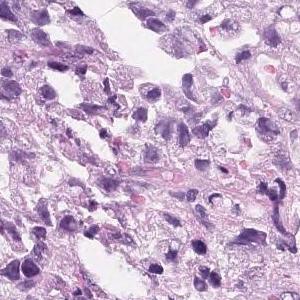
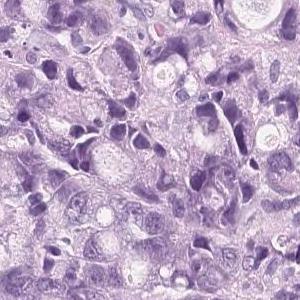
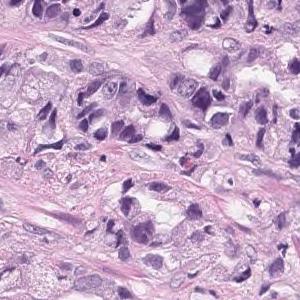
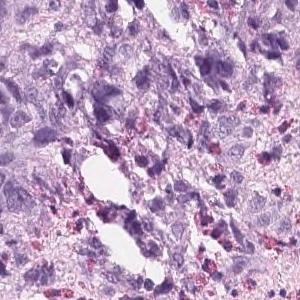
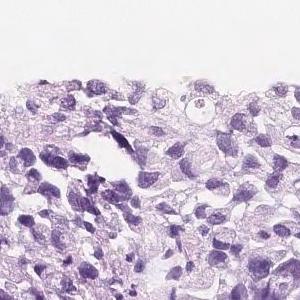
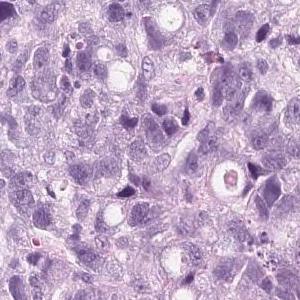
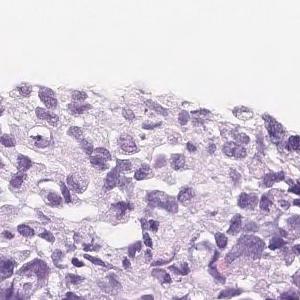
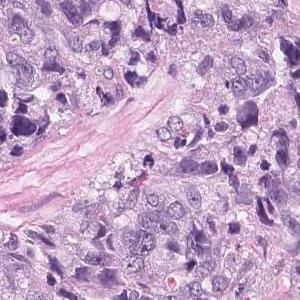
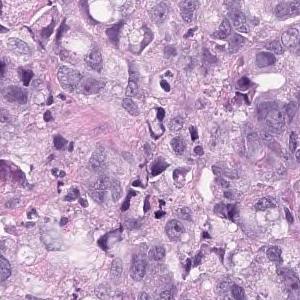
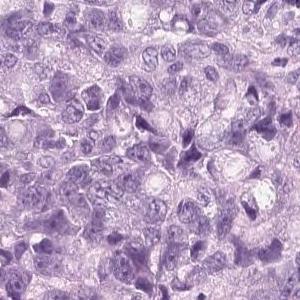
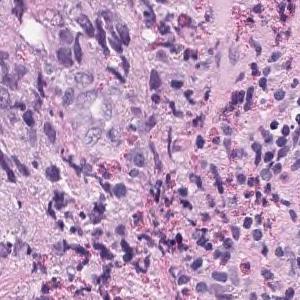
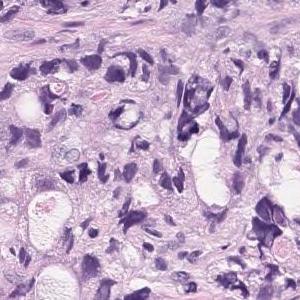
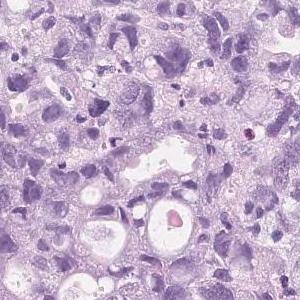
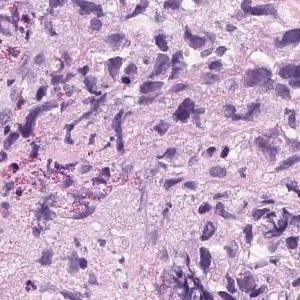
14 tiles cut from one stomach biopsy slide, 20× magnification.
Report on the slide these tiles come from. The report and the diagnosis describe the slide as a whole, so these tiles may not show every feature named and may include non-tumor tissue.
Tumor tissue that infiltrates and proliferates by forming small glandular cavities in the superficial layer to the submucosa or forming a mass is observed. moderately differentiated tubular adenocarcinoma
